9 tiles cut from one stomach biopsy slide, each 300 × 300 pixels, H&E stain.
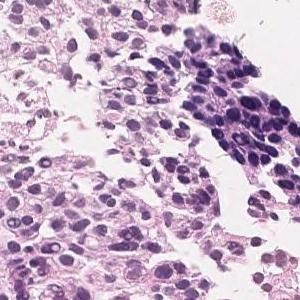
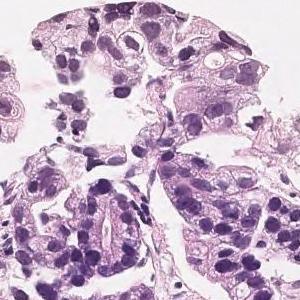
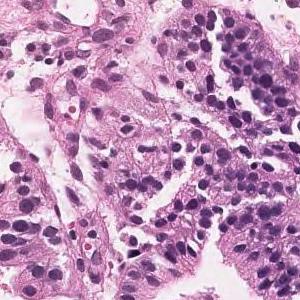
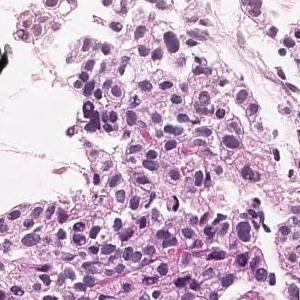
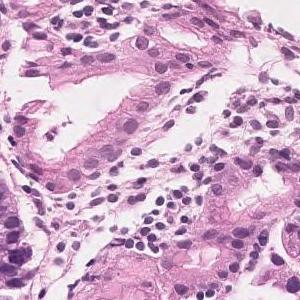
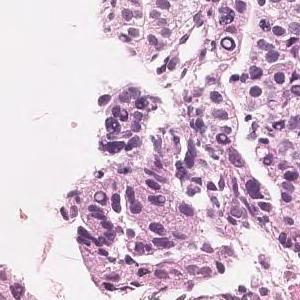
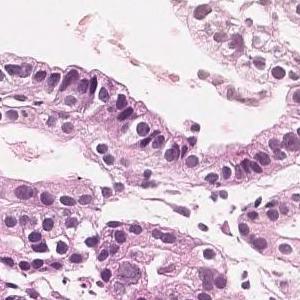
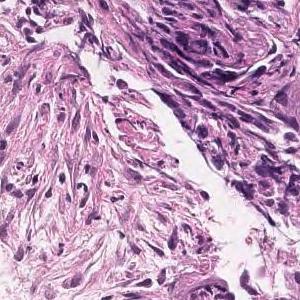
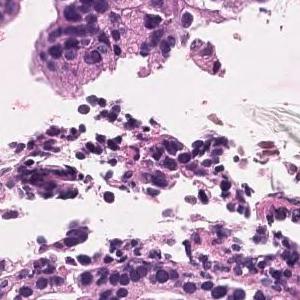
Diagnostic report for the slide these tiles come from. Both the report and the diagnosis are for the whole slide: these tiles need not show every feature named, and some of the tissue shown may not be tumor.
In the superficial epithelium, tumor tissue that invades by forming medium-sized to small, irregular ducts is observed. moderately differentiated tubular adenocarcinoma.
